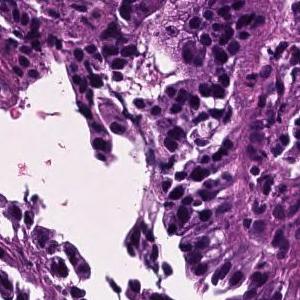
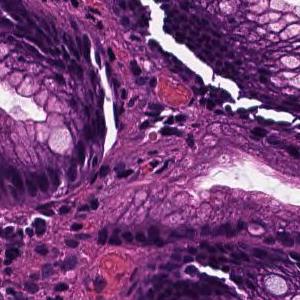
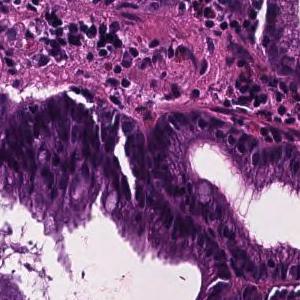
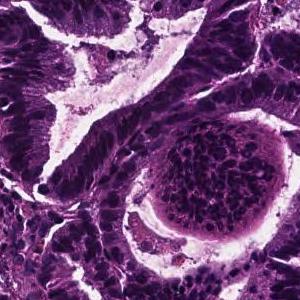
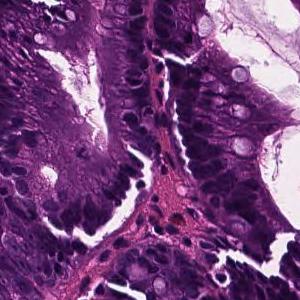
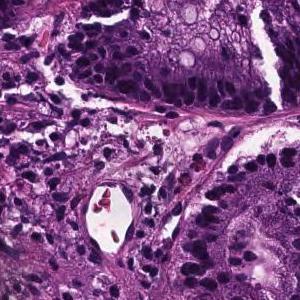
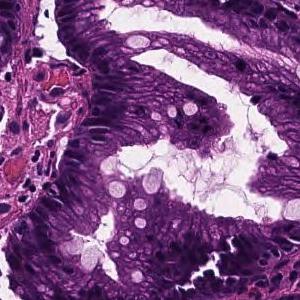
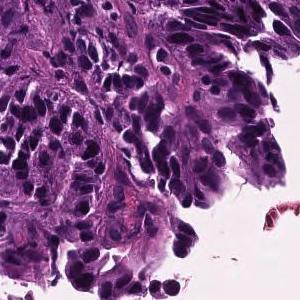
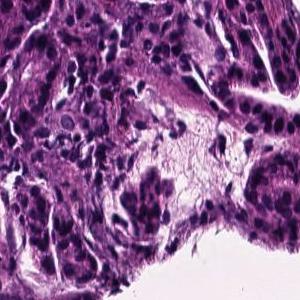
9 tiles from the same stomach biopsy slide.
Pathology report for the slide these tiles were cut from. What the report and the diagnosis say applies to the whole slide; these tiles may miss some of the features named and may include tissue that is not tumor.
In the superficial epithelium, tumor tissue that invades by forming medium-sized to small, irregular ducts is observed. Well differentiated tubular adenocarcinoma.
